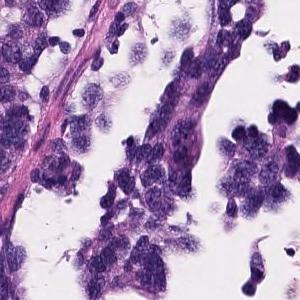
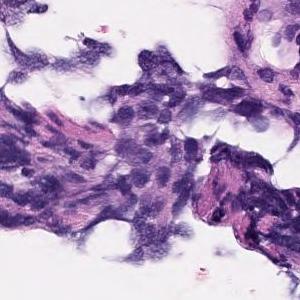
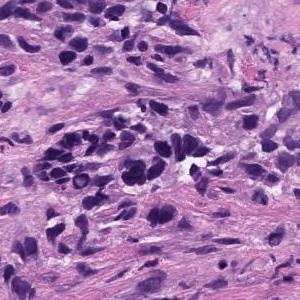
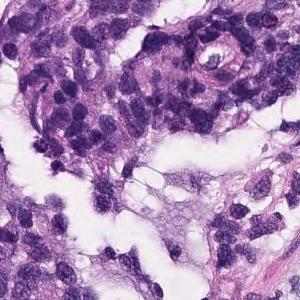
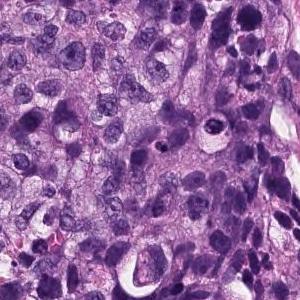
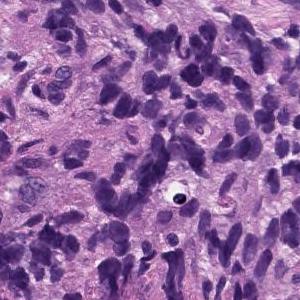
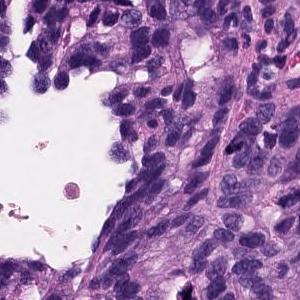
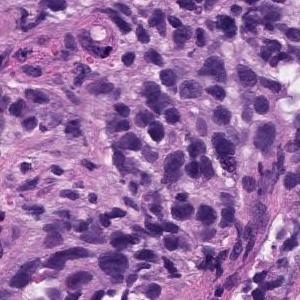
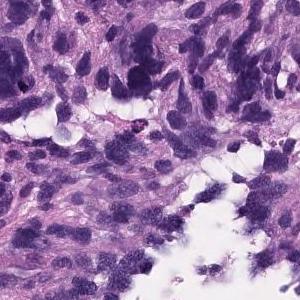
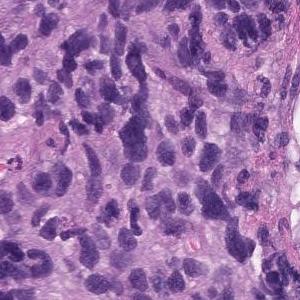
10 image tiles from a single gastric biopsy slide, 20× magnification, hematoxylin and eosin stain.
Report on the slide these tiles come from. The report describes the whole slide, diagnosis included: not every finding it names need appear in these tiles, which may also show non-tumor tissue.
Atypical l cells with atypical nuclei under the mucosa growing in isolation and scattered. Poorly differentiated adenocarcinoma (poorly differentiated adenocarcinoma, non-solid type)
Subtype: Poorly differentiated adenocarcinoma, non-solid type.
"Non-solid type" is a category of the Japanese Classification of Gastric Carcinoma.
